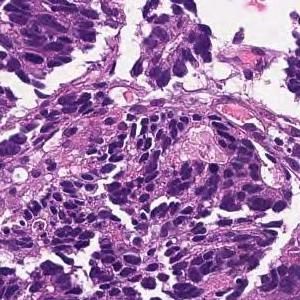
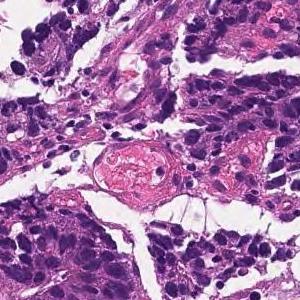
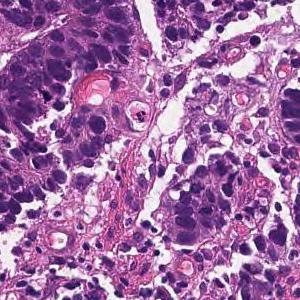
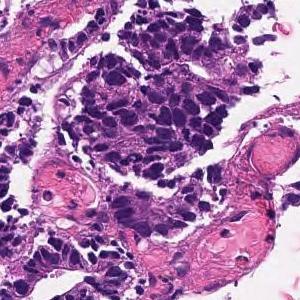
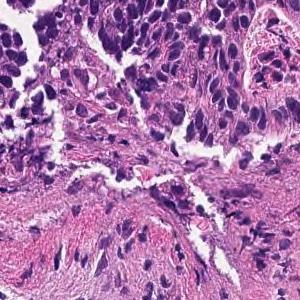
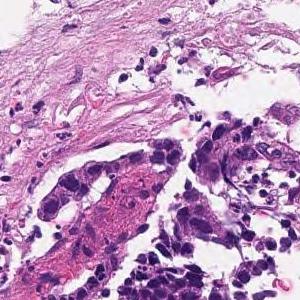
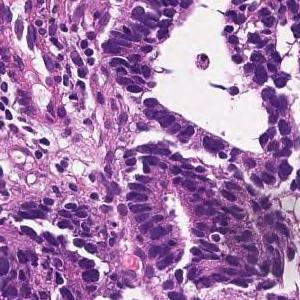
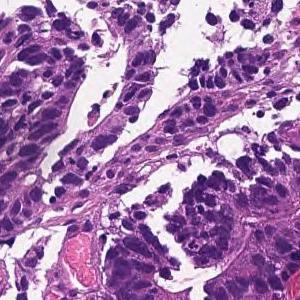
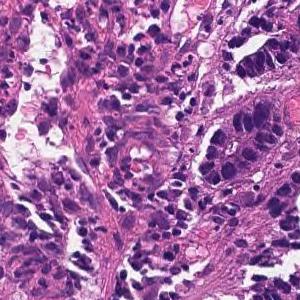
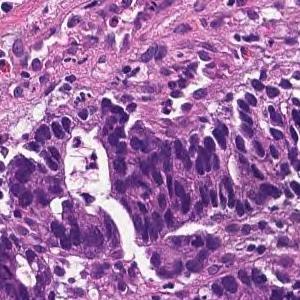
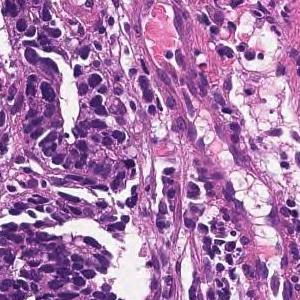
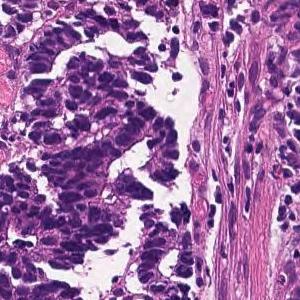
12 tiles cut from one stomach biopsy slide · each 300 × 300 pixels · H&E stain · ×20.
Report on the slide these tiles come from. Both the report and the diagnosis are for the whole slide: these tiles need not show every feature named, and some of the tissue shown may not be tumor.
In the superficial epithelium, tumor tissue that invades by forming medium-sized to small, irregular ducts is observed. Moderately differentiated adenocarcinoma (moderately differentiated tubular adenocarcinoma).
Histological subtype: Moderately differentiated tubular adenocarcinoma.
